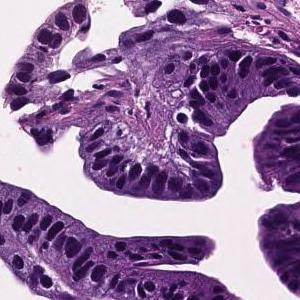
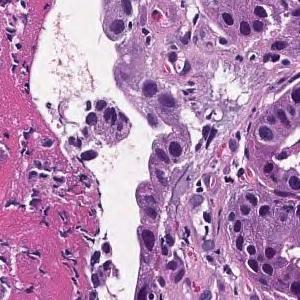
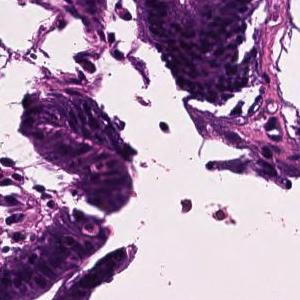
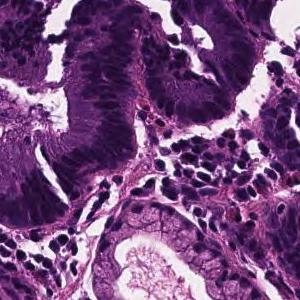
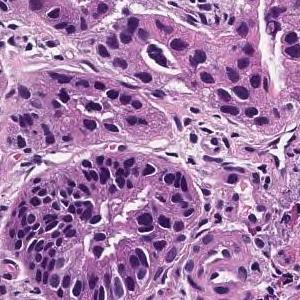
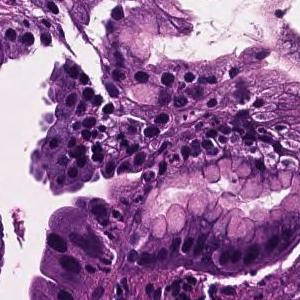
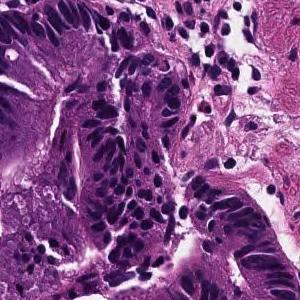
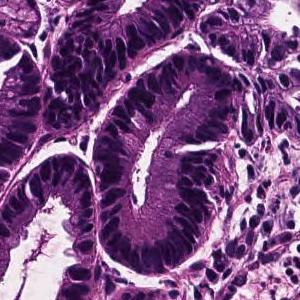
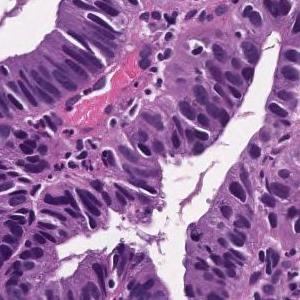
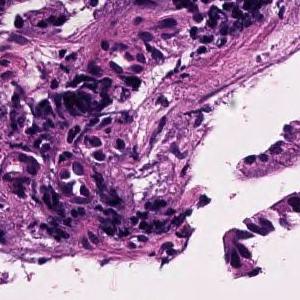
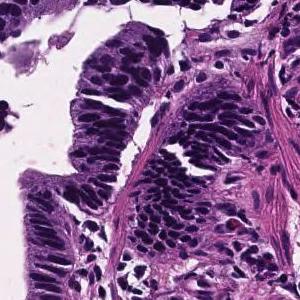
11 tiles cut from one stomach biopsy slide.
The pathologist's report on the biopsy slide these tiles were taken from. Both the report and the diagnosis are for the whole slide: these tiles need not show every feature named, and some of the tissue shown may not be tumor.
Tumor cells are large, highly columnar, large club-shaped nuclei, and are associated with chromatin aggregation. Papillary adenocarcinoma.
